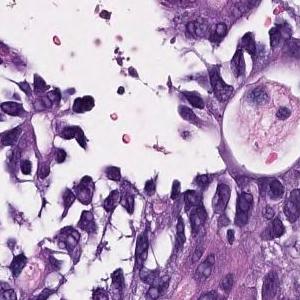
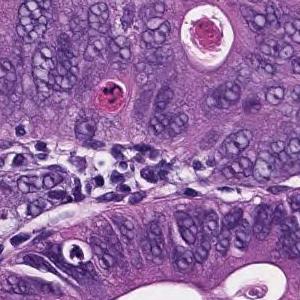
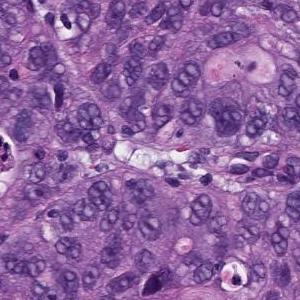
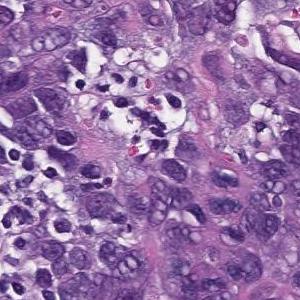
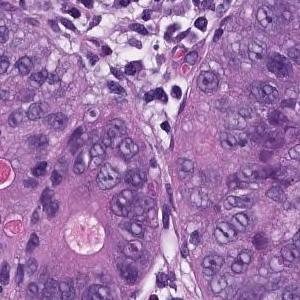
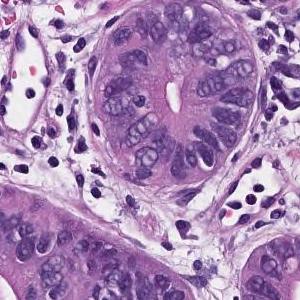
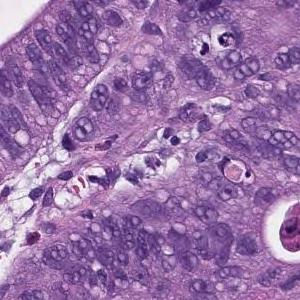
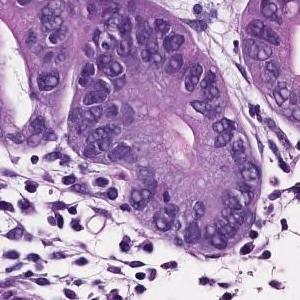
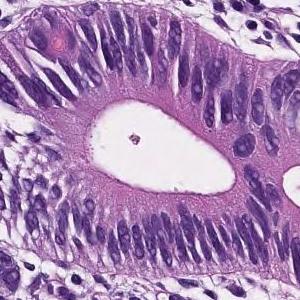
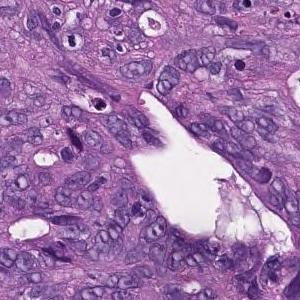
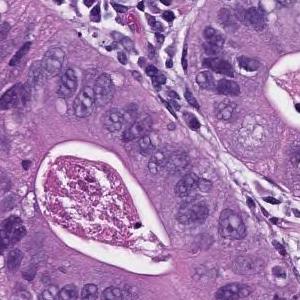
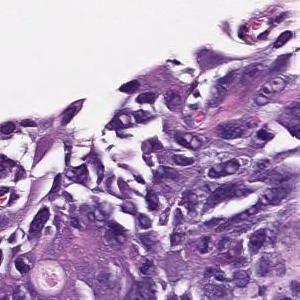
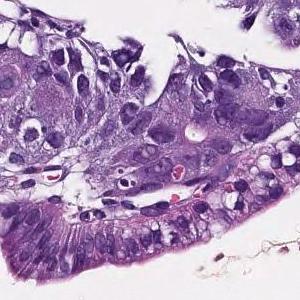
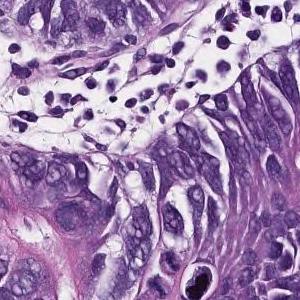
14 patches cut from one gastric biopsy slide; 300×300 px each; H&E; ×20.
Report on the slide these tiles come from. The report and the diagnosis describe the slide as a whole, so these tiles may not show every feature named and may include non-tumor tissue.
In the superficial epithelium, tumor tissue that invades by forming medium-sized to small, irregular ducts is observed. moderately differentiated tubular adenocarcinoma.
